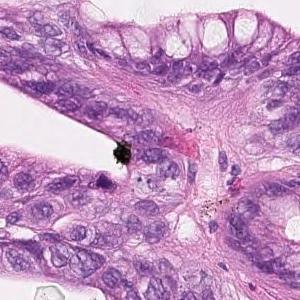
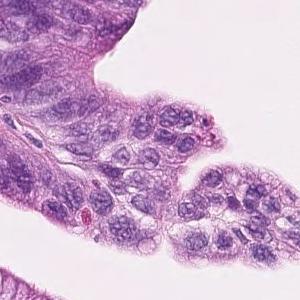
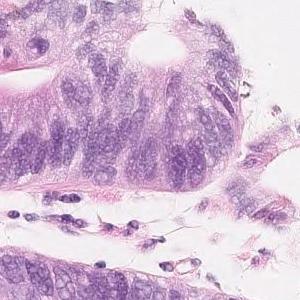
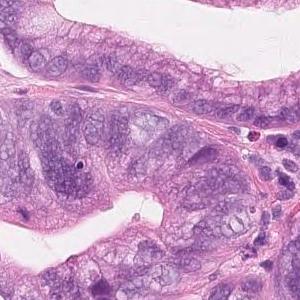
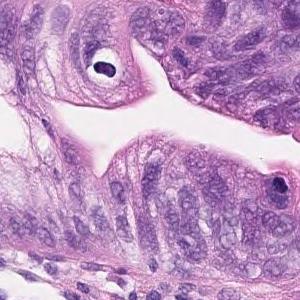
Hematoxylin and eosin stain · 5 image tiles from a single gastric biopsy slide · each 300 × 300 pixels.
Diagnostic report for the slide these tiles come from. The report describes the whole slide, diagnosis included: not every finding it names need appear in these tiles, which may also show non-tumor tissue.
With the background of intestinal metaplasia, hyperplasia of large atypical glandular ducts is observed, accompanied by macronucleus swelling, disorder of nuclear polarity, and fusion of glandular ducts. Well differentiated tubular adenocarcinoma
